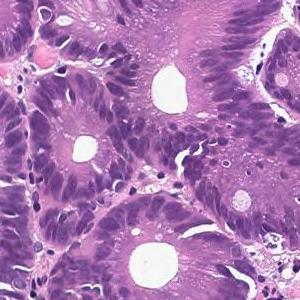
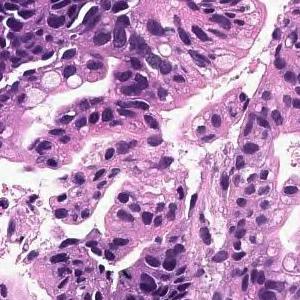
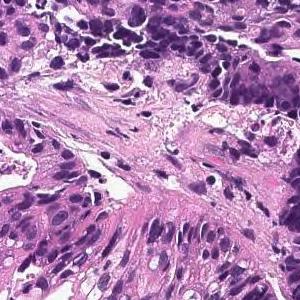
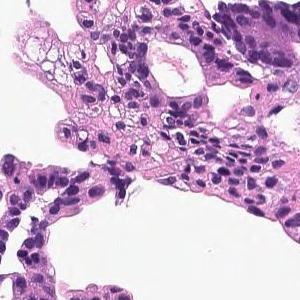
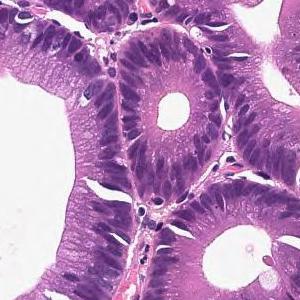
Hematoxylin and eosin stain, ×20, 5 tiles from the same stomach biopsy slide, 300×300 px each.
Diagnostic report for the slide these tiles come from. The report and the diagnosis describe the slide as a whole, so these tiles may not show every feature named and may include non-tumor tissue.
In the superficial epithelium, tumor tissue that invades by forming medium-sized to small, irregular ducts is observed. moderately differentiated tubular adenocarcinoma.
